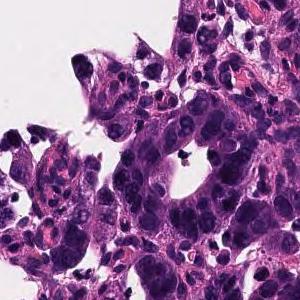
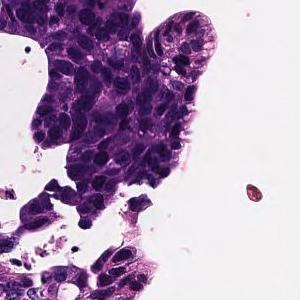
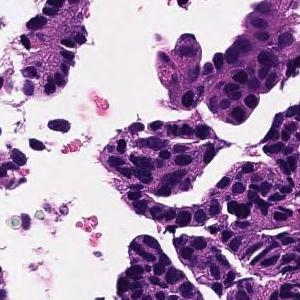
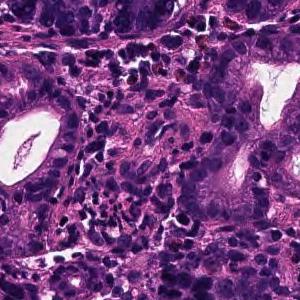
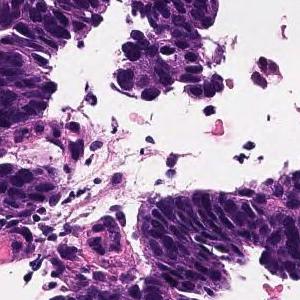
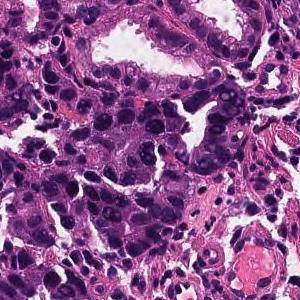
6 image tiles from a single gastric biopsy slide, 300 × 300 pixels each, H&E, scanned at ×20.
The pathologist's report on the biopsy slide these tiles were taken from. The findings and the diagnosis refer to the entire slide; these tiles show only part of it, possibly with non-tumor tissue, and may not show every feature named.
In the superficial epithelium, tumor tissue that invades by forming medium-sized to small, irregular ducts is observed. moderately differentiated tubular adenocarcinoma.
